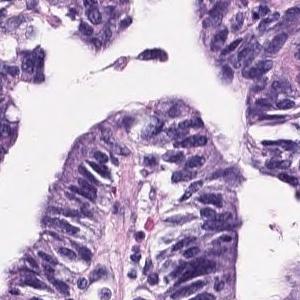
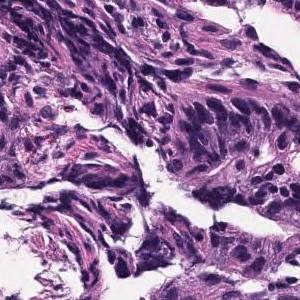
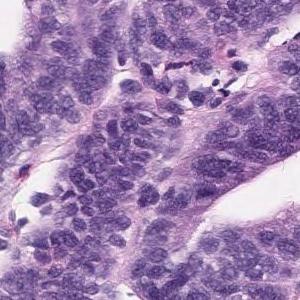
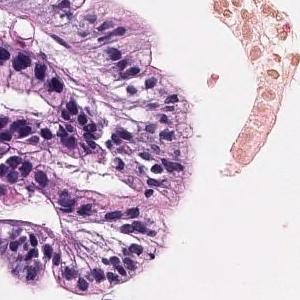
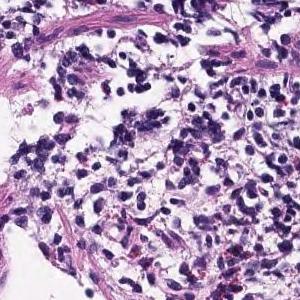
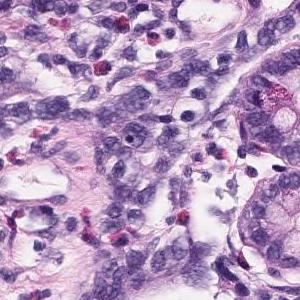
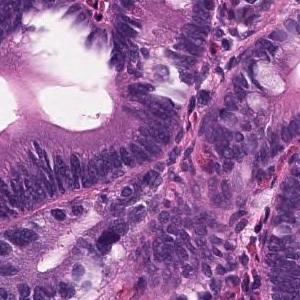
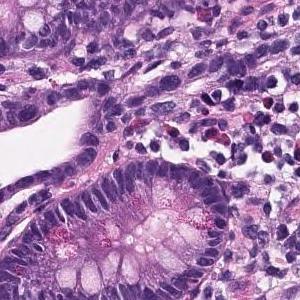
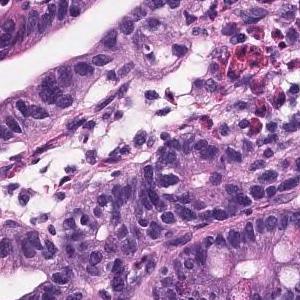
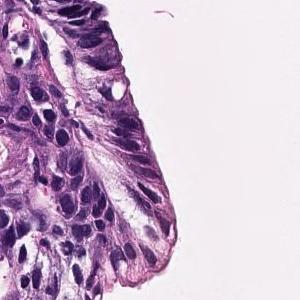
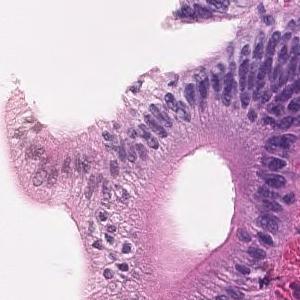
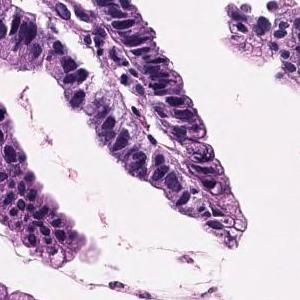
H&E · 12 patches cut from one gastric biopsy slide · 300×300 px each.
The pathologist's report on the biopsy slide these tiles were taken from. The findings and the diagnosis refer to the entire slide; these tiles show only part of it, possibly with non-tumor tissue, and may not show every feature named.
Tumor cells are large, highly columnar, large club-shaped nuclei, and are associated with chromatin aggregation. Papillary adenocarcinoma.
